9 patches cut from one gastric biopsy slide, 20× magnification, H&E.
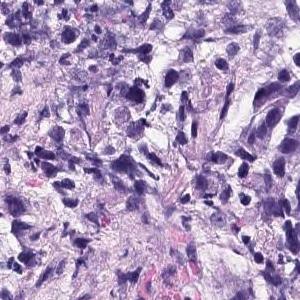
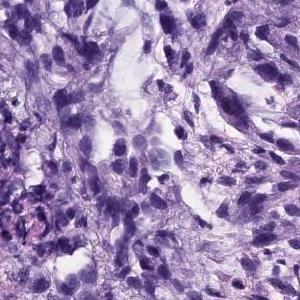
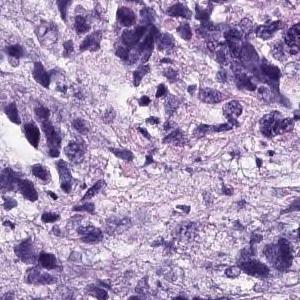
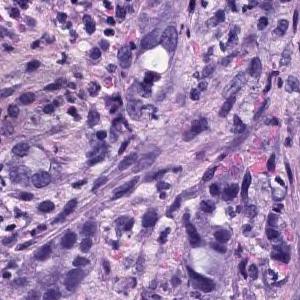
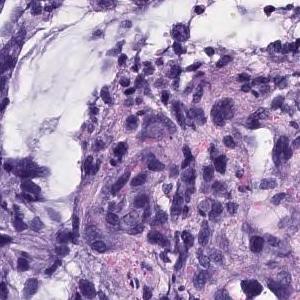
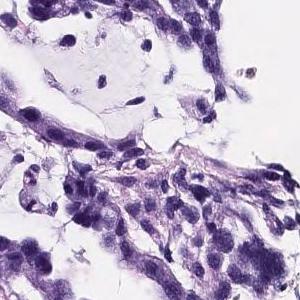
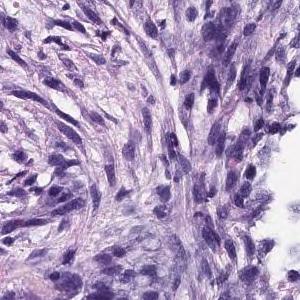
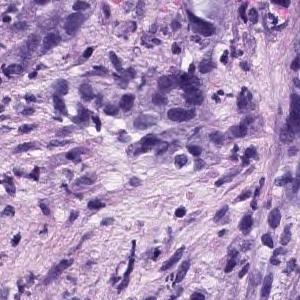
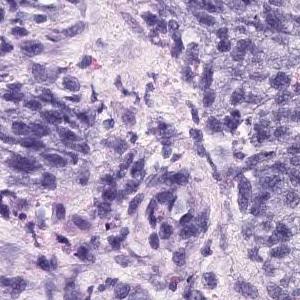
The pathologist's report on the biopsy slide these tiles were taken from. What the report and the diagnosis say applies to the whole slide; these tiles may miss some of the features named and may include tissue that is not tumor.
Atypical l cells with atypical nuclei forming solid or diffuse vesicle nests and proliferating in a complex manner. Poorly differentiated adenocarcinoma, moderately differentiated tubular adenocarcinoma
Histologic type: Moderately to poorly differentiated adenocarcinoma.
